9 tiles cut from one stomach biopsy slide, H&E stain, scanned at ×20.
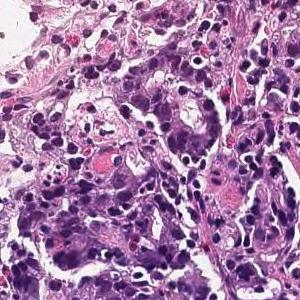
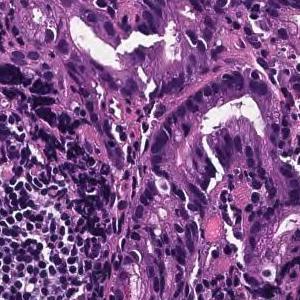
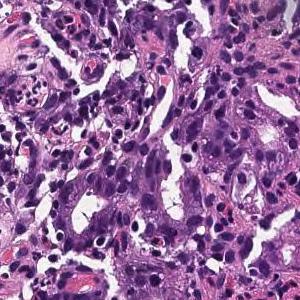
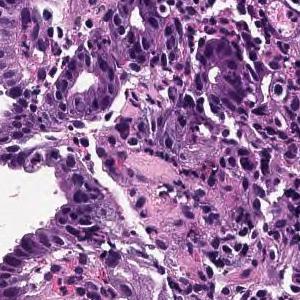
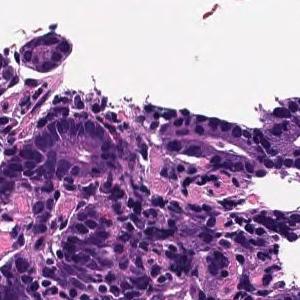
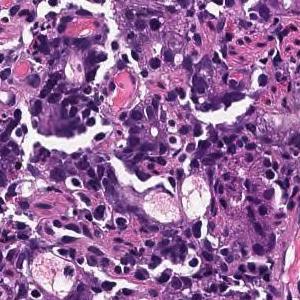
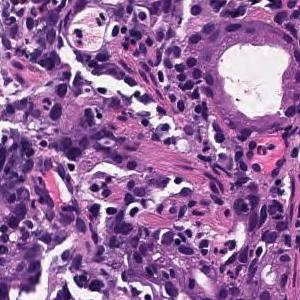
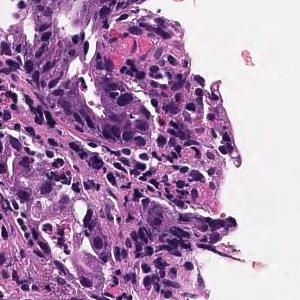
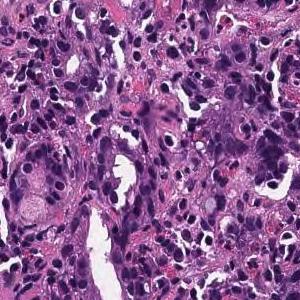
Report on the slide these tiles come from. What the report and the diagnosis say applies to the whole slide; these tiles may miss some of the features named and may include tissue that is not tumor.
In the superficial epithelium, tumor tissue that invades by forming medium-sized to small, irregular ducts is observed. moderately differentiated tubular adenocarcinoma.
